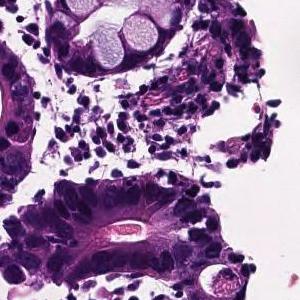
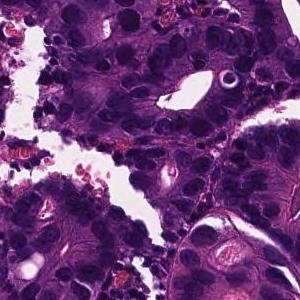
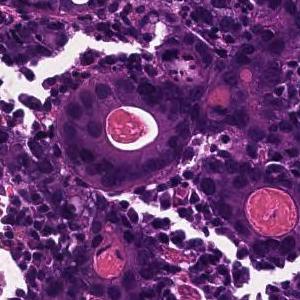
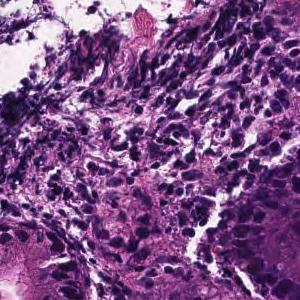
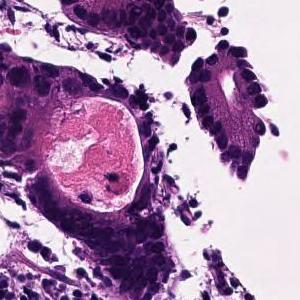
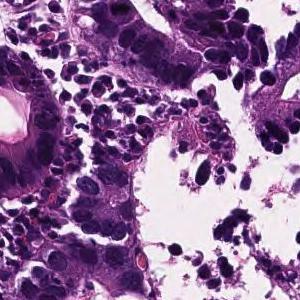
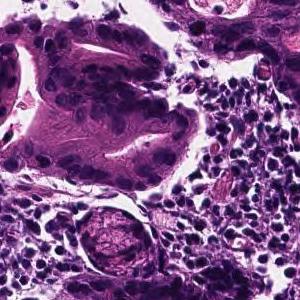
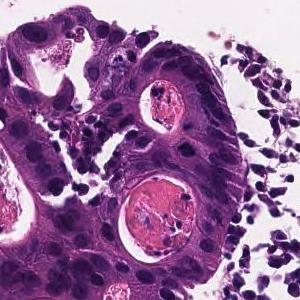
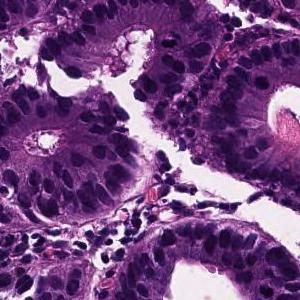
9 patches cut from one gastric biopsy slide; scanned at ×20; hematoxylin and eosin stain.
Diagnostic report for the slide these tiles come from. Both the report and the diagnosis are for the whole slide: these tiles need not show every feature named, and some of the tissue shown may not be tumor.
From the superficial epithelium to the muscularis mucosae, tumor tissue infiltrating by forming medium-sized irregular gland ducts is observed. Large tumor cells exhibit large nucleus and hyperchromatism. Well differentiated tubular adenocarcinoma
